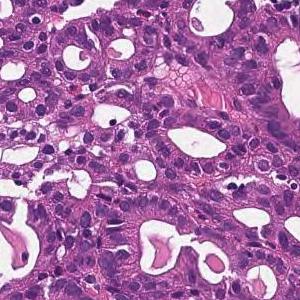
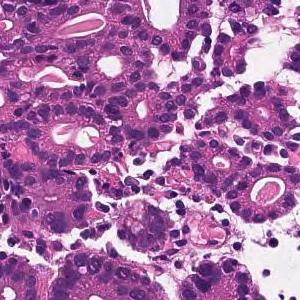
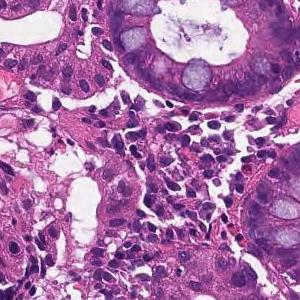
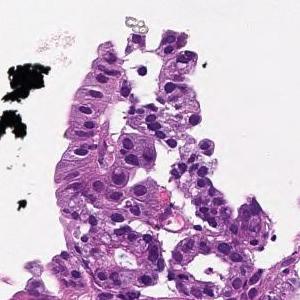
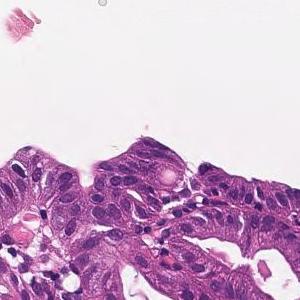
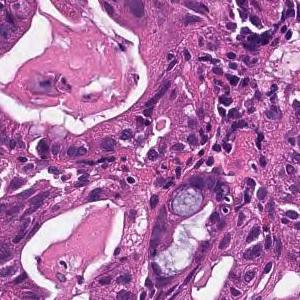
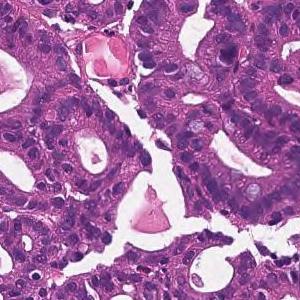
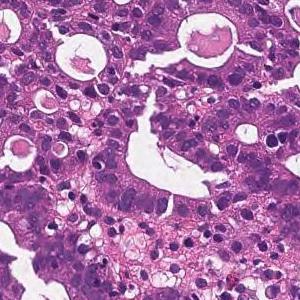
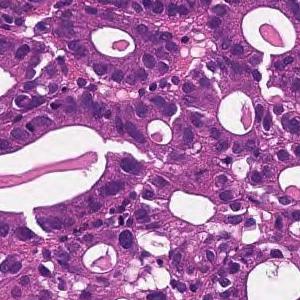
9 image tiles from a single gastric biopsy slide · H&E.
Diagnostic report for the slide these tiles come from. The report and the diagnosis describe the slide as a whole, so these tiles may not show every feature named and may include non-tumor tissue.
On the superficial epithelium, tumor tissue consisting of medium-sized irregular glandular ducts partially fused and infiltrated is observed. Well to moderately differentiated tubular adenocarcinoma (well differentiated tubular adenocarcinoma-moderately differentiated tubular adenocarcinoma)
Classified as well to moderately differentiated tubular adenocarcinoma.
